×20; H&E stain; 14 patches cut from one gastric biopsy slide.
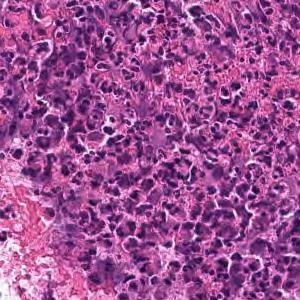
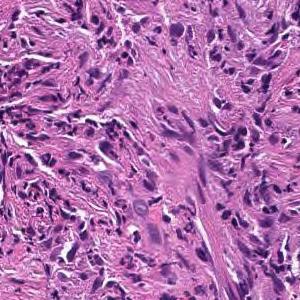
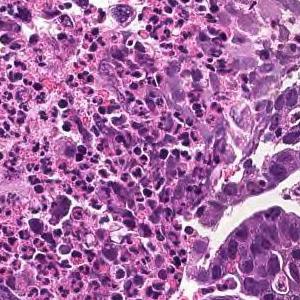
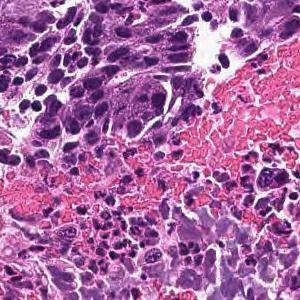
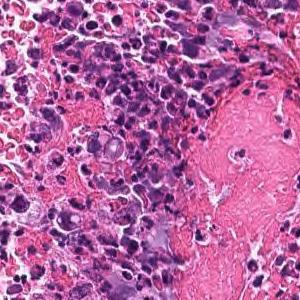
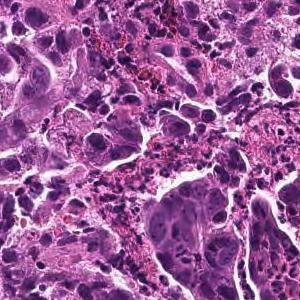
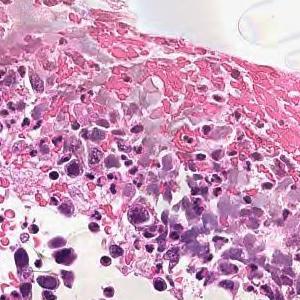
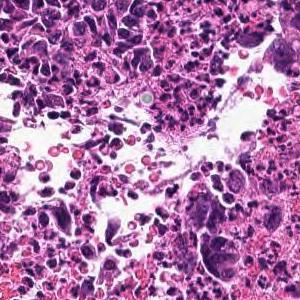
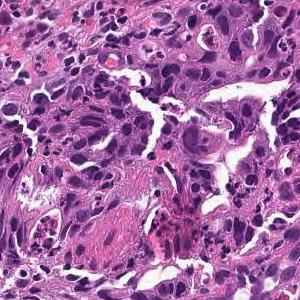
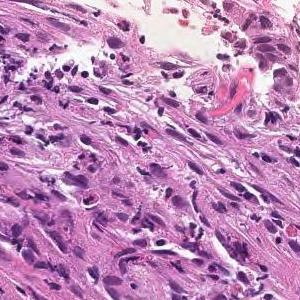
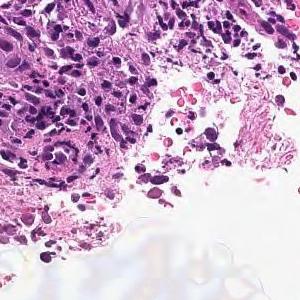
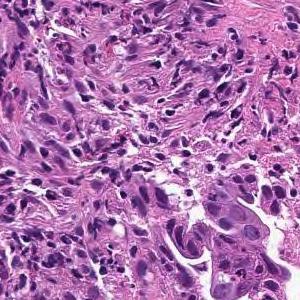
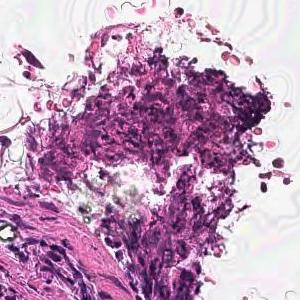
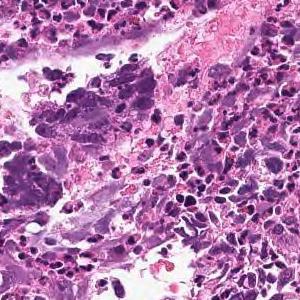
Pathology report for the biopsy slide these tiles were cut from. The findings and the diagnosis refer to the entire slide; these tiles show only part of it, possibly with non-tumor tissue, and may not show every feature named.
In the superficial epithelium, tumor tissue that invades by forming medium-sized to small, irregular ducts is observed. moderately differentiated tubular adenocarcinoma.
